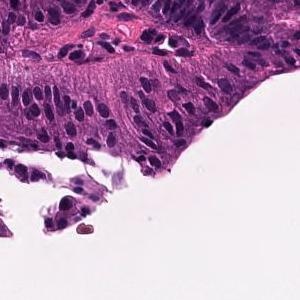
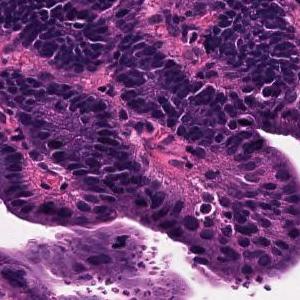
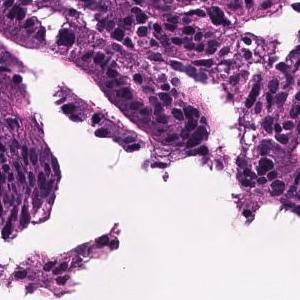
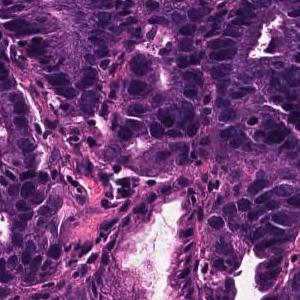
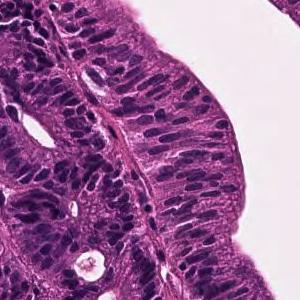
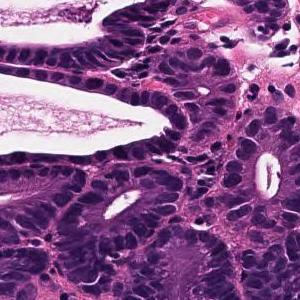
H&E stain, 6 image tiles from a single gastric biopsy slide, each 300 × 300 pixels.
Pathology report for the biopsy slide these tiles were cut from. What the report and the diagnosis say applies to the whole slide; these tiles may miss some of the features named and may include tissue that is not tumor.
Tumor tissue that remains within the superficial epithelium and is infiltrated by large papillary or irregular ducts that fuse with each other is observed. Well differentiated tubular adenocarcinoma
